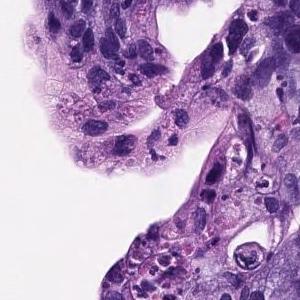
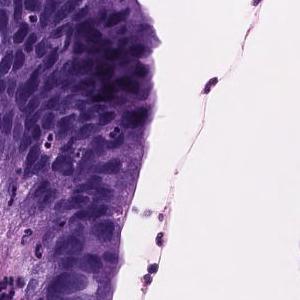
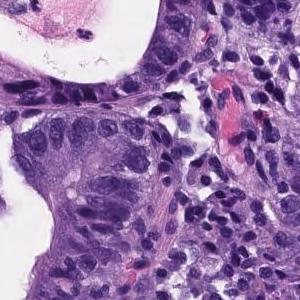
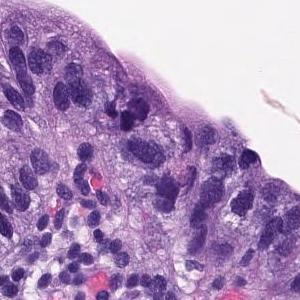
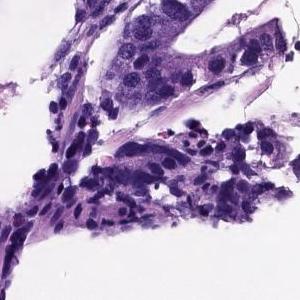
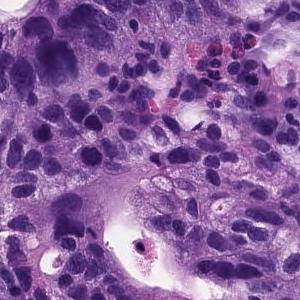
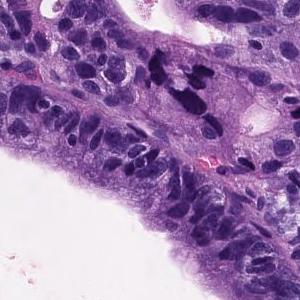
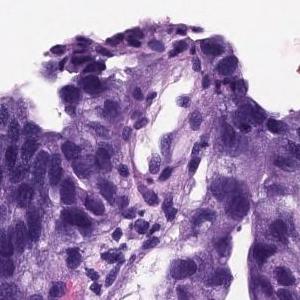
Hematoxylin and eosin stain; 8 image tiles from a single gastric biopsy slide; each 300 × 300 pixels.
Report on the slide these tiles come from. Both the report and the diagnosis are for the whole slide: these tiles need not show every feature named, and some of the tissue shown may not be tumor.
There are atypical l cells with atypical nuclei forming irregular glandular ducts and growing in a complex manner. Well differentiated tubular adenocarcinoma
